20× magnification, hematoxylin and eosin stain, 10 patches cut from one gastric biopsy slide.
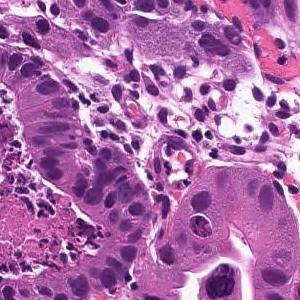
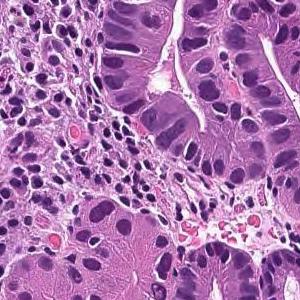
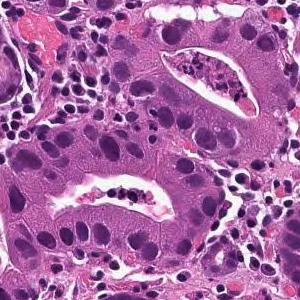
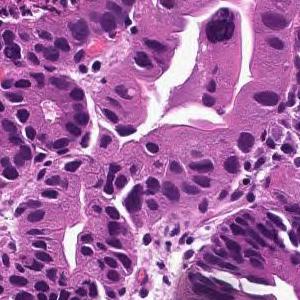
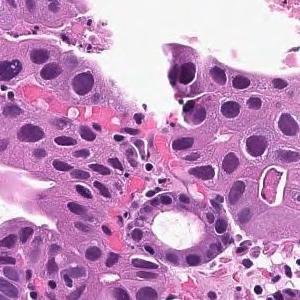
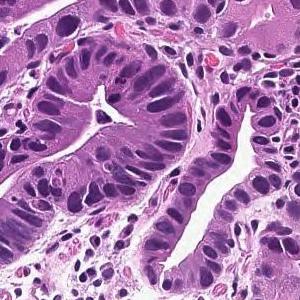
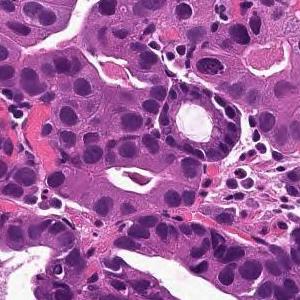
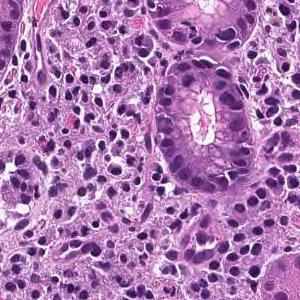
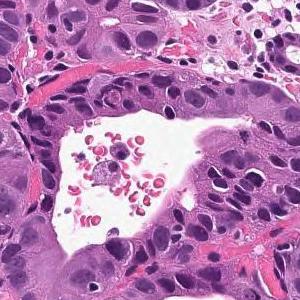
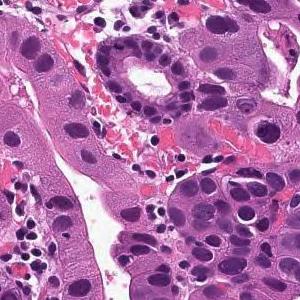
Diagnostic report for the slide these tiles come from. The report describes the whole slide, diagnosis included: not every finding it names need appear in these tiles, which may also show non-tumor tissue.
From the superficial epithelium to the muscularis mucosae, tumor tissue consisting of medium-sized and irregular glandular ducts infiltrating is observed. Well differentiated tubular adenocarcinoma
